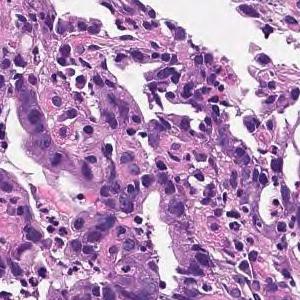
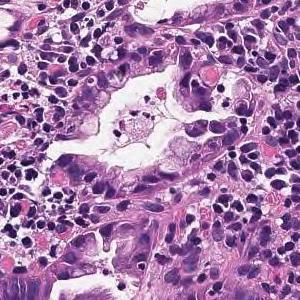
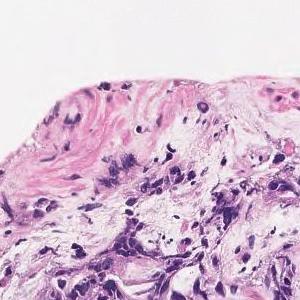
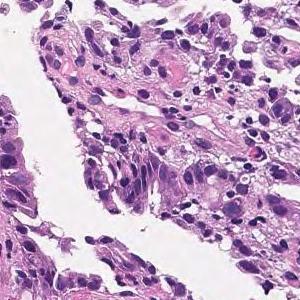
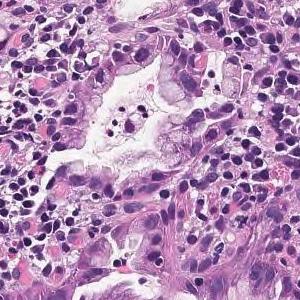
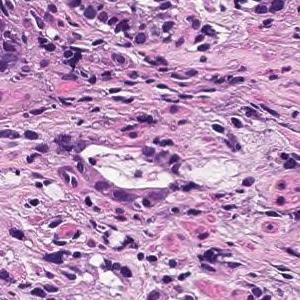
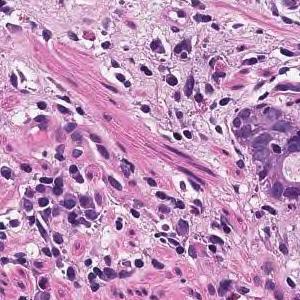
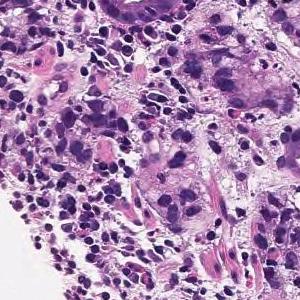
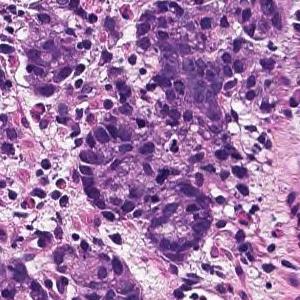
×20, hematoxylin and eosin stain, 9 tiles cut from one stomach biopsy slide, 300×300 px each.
Pathology report for the slide these tiles were cut from. The findings and the diagnosis refer to the entire slide; these tiles show only part of it, possibly with non-tumor tissue, and may not show every feature named.
Tumor tissue consisting of cord-like or small, irregular glandular ducts fused and infiltrated is observed in the superficial epithelium. Poorly differentiated adenocarcinoma, non-solid type
The non-solid type named here is a Japanese Classification of Gastric Carcinoma category.
